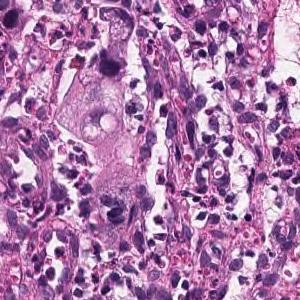
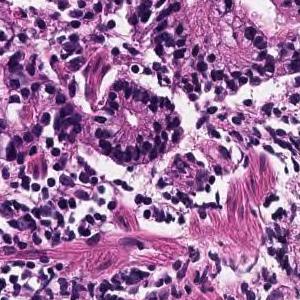
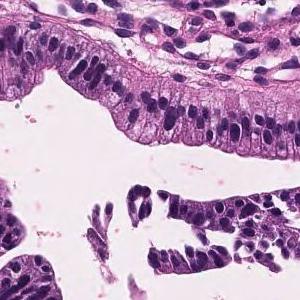
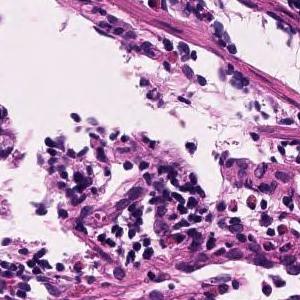
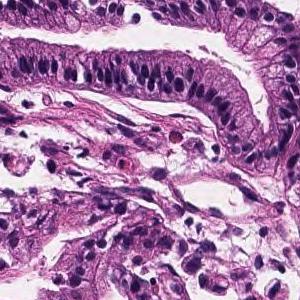
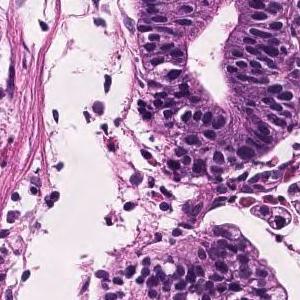
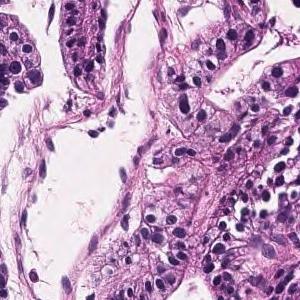
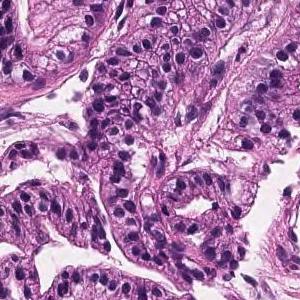
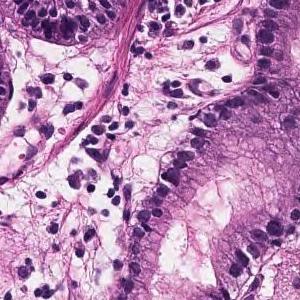
9 patches cut from one gastric biopsy slide · 300 × 300 pixels each · 20× magnification · hematoxylin and eosin stain.
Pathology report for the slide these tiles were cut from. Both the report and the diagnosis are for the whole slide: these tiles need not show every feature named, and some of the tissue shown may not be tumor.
Tumor tissue consisting of large papillary structures or irregular glandular ducts partially fused and infiltrated is observed in the superficial epithelium. Well to moderately differentiated tubular adenocarcinoma.
The dataset labels this slide moderately differentiated tubular adenocarcinoma.
